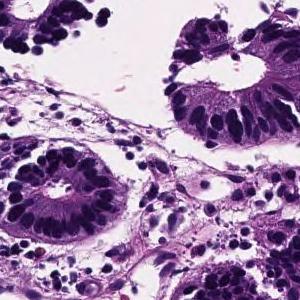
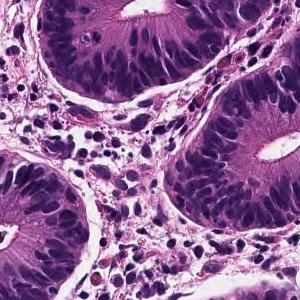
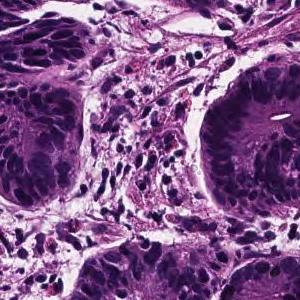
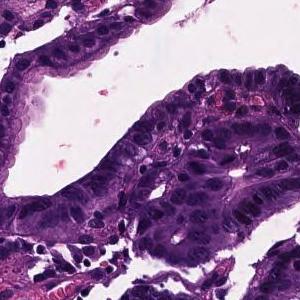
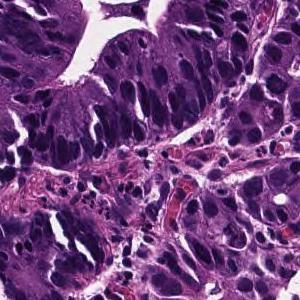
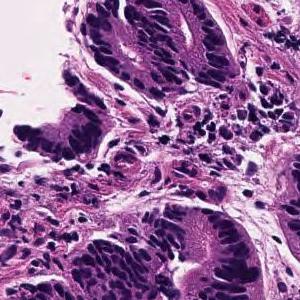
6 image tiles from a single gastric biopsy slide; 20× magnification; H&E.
Report on the slide these tiles come from. The report and the diagnosis cover the entire slide, so not every feature they name need be visible here, and some tissue shown may not be tumor.
From the superficial epithelium to the muscularis mucosae, tumor tissue consisting of medium-sized and irregular glandular ducts infiltrating is observed. Well differentiated tubular adenocarcinoma
